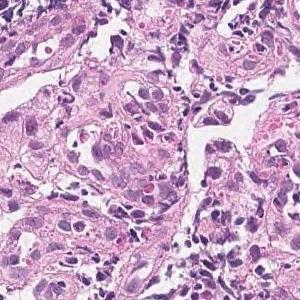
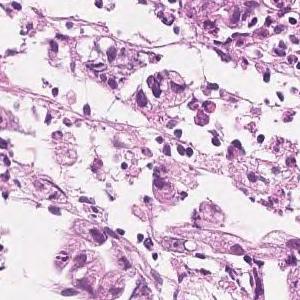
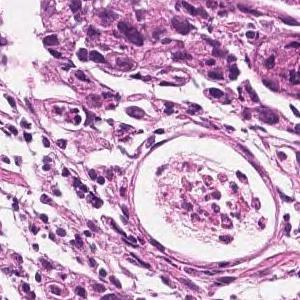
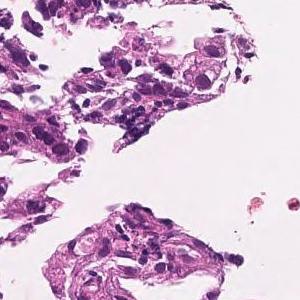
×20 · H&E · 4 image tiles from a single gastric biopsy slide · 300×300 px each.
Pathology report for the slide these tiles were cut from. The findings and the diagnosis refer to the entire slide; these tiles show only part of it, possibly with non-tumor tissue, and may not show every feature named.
In the superficial epithelium, medium to small, irregular glandular ducts are formed, and in some parts, the glandular ducts are fused, and in other parts, small cord-like infiltrating tumor tissue is observed. Moderately to poorly differentiated adenocarcinoma.
